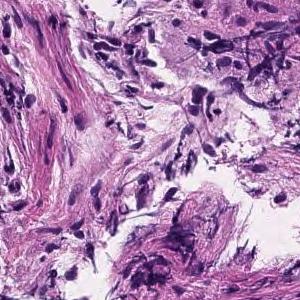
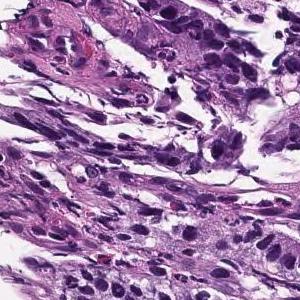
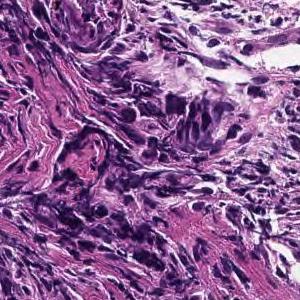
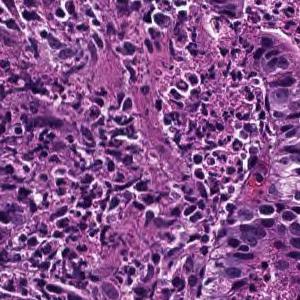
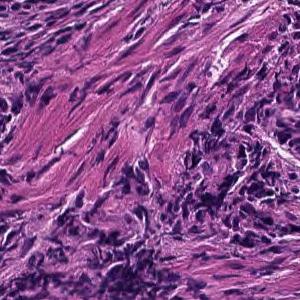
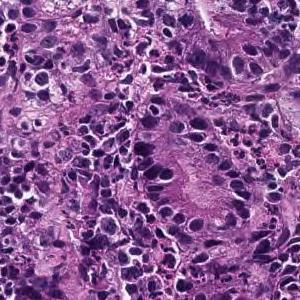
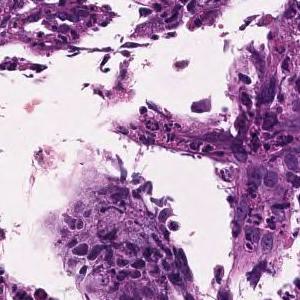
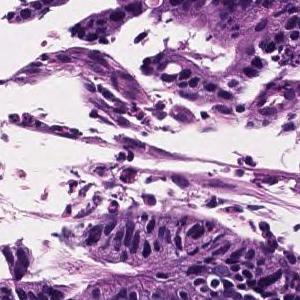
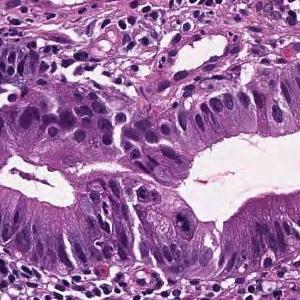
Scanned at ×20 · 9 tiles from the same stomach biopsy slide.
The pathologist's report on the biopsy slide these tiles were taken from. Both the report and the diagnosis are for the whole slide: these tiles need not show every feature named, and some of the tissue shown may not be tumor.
On the superficial epithelium, tumor tissue consisting of large, irregular glandular ducts partially fused and infiltrated is observed. Well to moderately differentiated tubular adenocarcinoma (well differentiated tubular adenocarcinoma, moderately differentiated tubular adenocarcinoma)
Histologic type: Well to moderately differentiated tubular adenocarcinoma.
